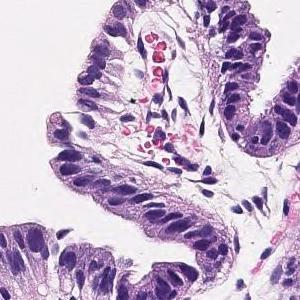
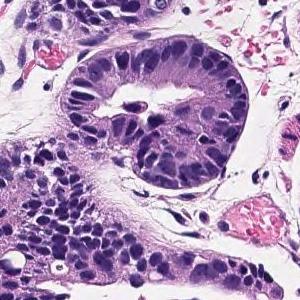
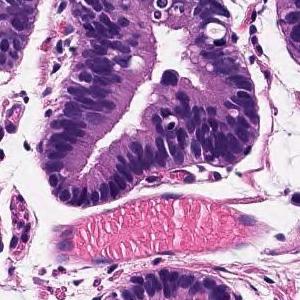
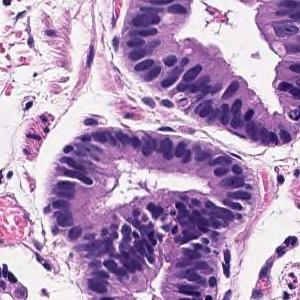
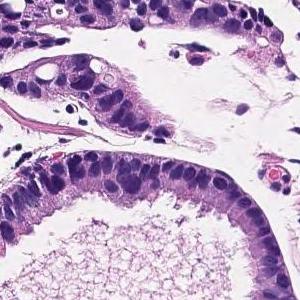
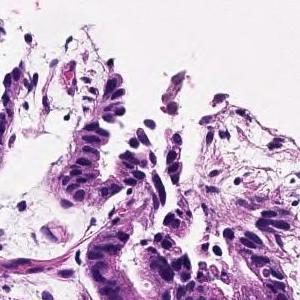
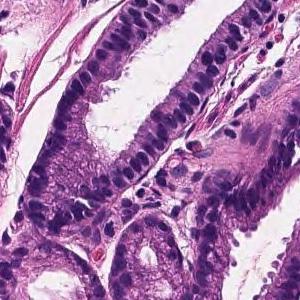
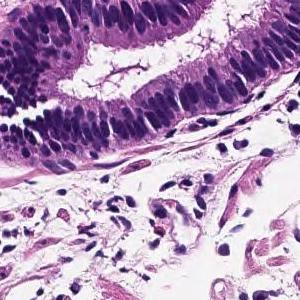
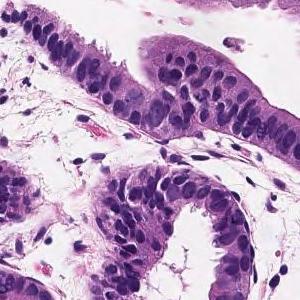
9 patches cut from one gastric biopsy slide · each 300 × 300 pixels · H&E stain.
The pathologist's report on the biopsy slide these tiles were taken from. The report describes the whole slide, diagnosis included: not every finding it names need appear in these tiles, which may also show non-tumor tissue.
Tumor cells are large, highly columnar, large club-shaped nuclei, and are associated with chromatin aggregation. Papillary adenocarcinoma.
